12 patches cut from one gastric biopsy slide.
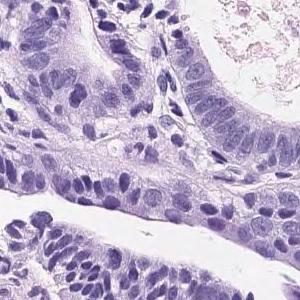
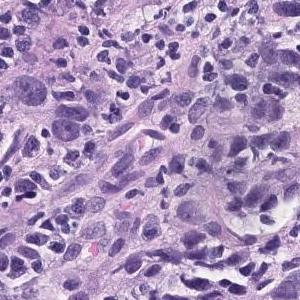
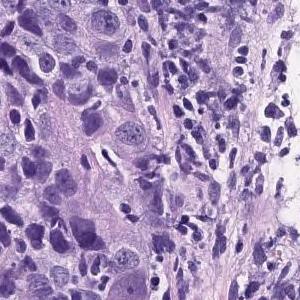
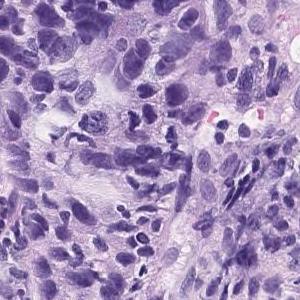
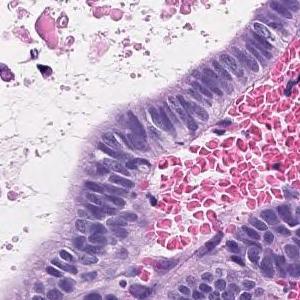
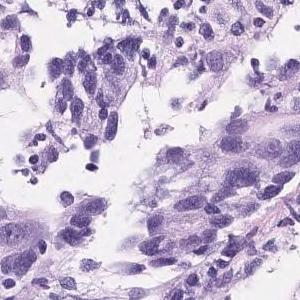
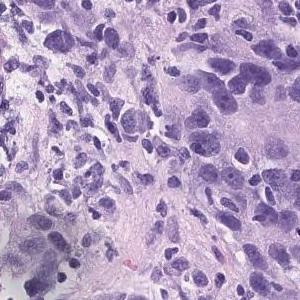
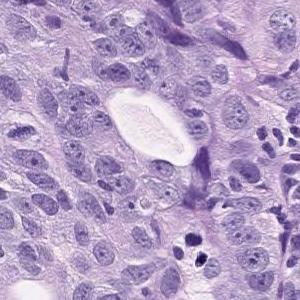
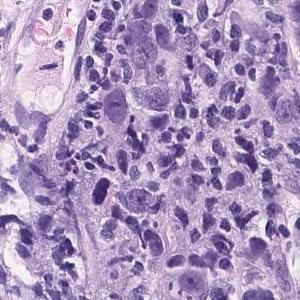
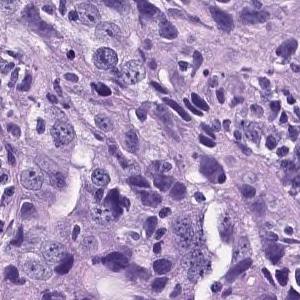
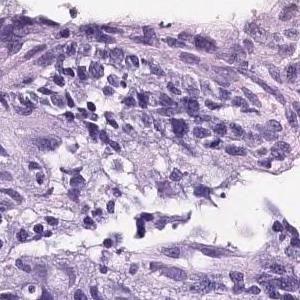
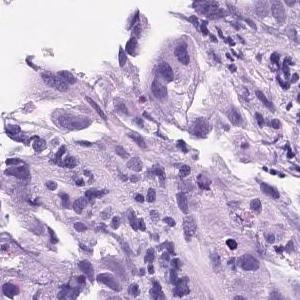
Pathology report for the biopsy slide these tiles were cut from. The report and the diagnosis describe the slide as a whole, so these tiles may not show every feature named and may include non-tumor tissue.
The superficial epithelium shows a large sheet-like shape, and some tumor tissue infiltrates with small irregular ducts. Poorly differentiated adenocarcinoma, solid-type
Subtype: Poorly differentiated adenocarcinoma, solid type (Japanese Classification of Gastric Carcinoma). The WHO 2019 equivalent is tubular adenocarcinoma, poorly differentiated.
